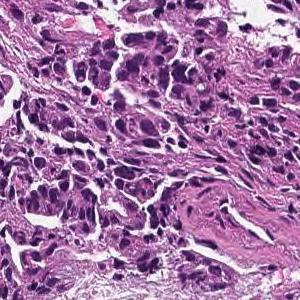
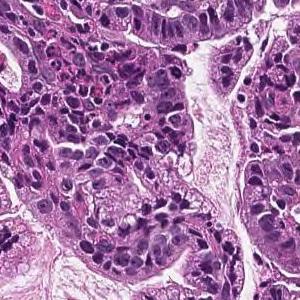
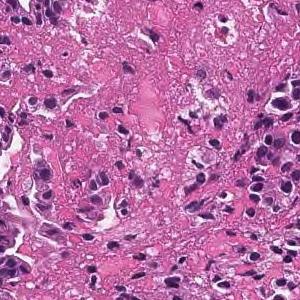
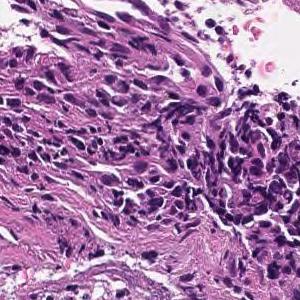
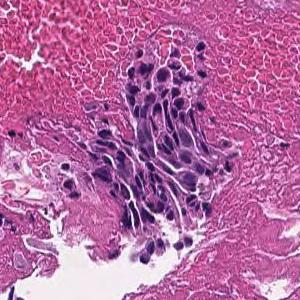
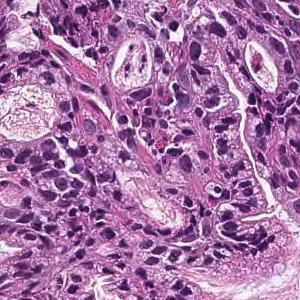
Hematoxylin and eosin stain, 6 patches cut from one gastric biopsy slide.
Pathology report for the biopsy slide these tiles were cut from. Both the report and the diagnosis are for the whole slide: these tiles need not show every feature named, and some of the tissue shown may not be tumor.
On the superficial epithelium, tumor tissue that infiltrates by forming medium-sized papillary or small irregular ducts is observed. Papillary adenocarcinoma
